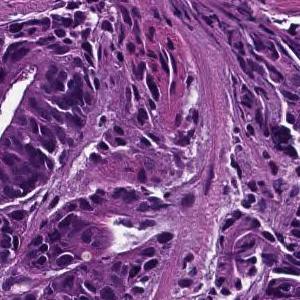
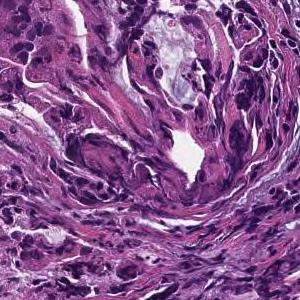
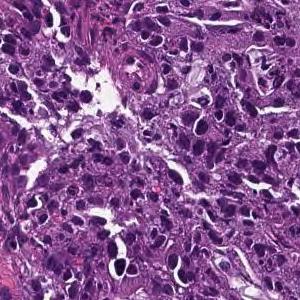
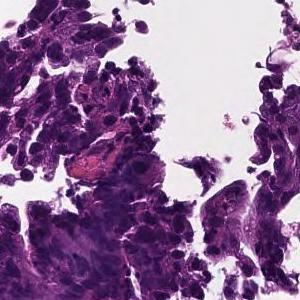
4 tiles cut from one stomach biopsy slide · 300×300 px each · H&E stain.
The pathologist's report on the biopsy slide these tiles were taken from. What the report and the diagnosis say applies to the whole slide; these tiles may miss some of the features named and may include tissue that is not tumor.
On the superficial epithelium, tumor tissue consisting of large irregular glandular ducts partially fused and infiltrated is observed. Well to moderately differentiated tubular adenocarcinoma (well differentiated tubular adenocarcinoma, moderately differentiated tubular adenocarcinoma)
Tumor subtype: well to moderately differentiated tubular adenocarcinoma.
